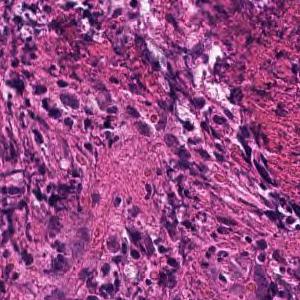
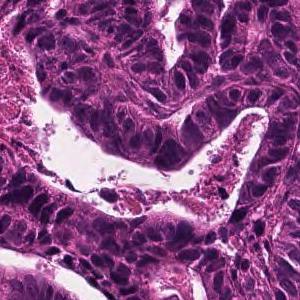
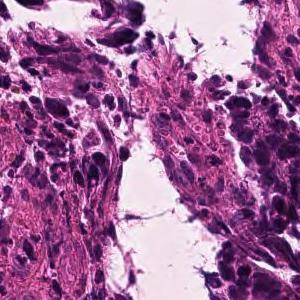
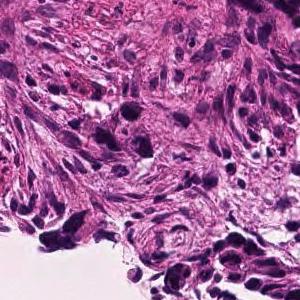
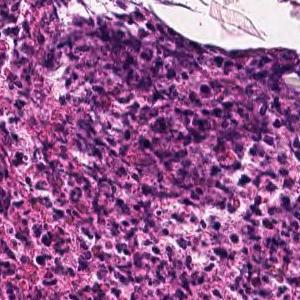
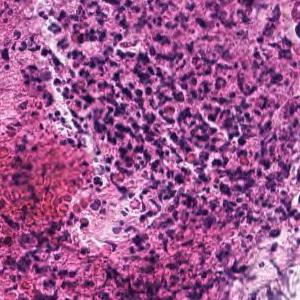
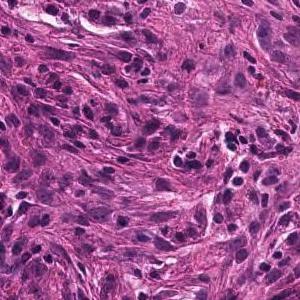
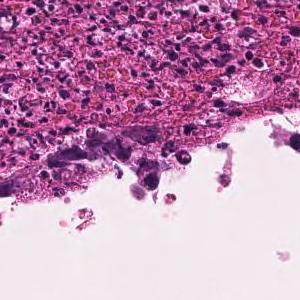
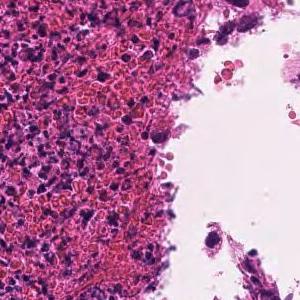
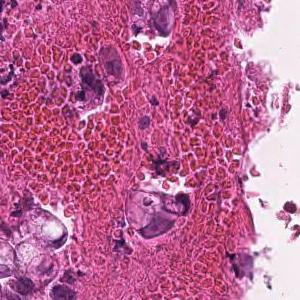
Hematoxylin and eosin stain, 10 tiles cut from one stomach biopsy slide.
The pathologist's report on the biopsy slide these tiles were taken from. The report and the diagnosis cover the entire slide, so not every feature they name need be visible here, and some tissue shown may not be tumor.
In the superficial epithelium, tumor tissue that invades by forming medium-sized to small, irregular ducts is observed. moderately differentiated tubular adenocarcinoma.
